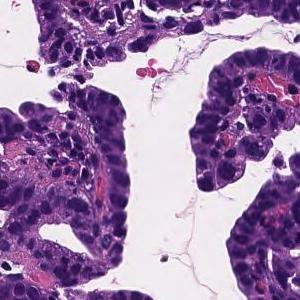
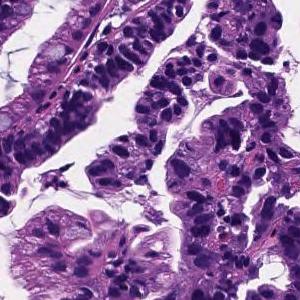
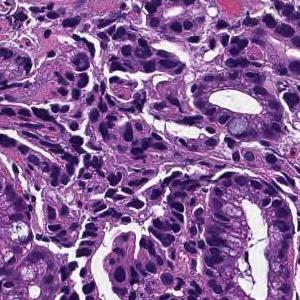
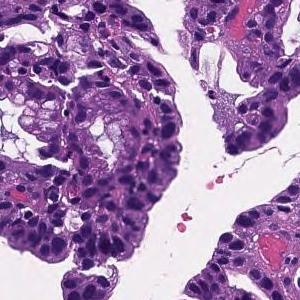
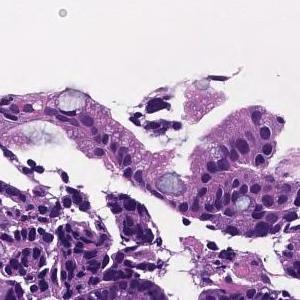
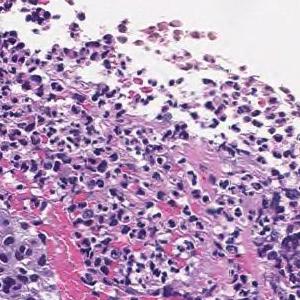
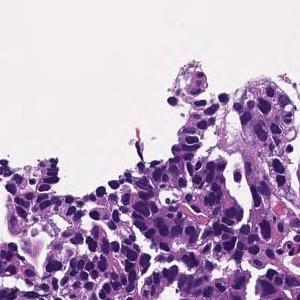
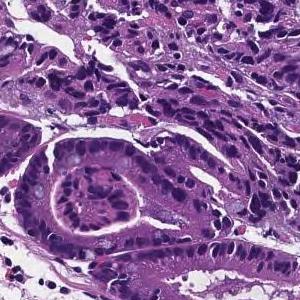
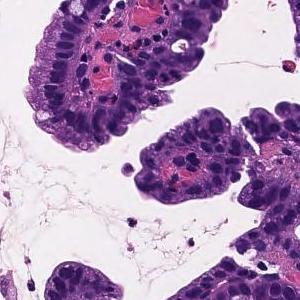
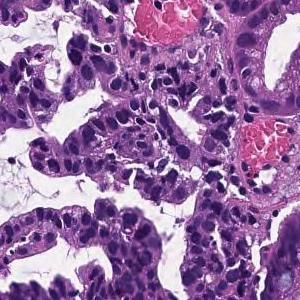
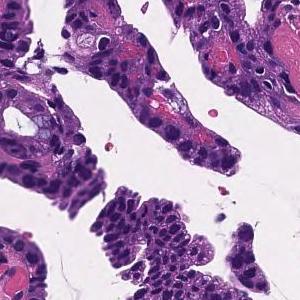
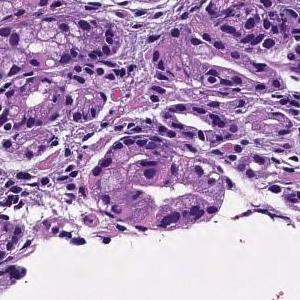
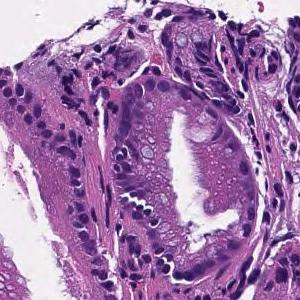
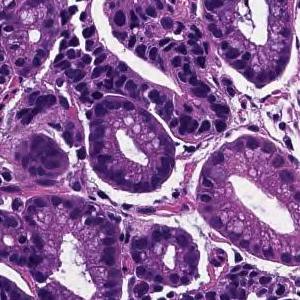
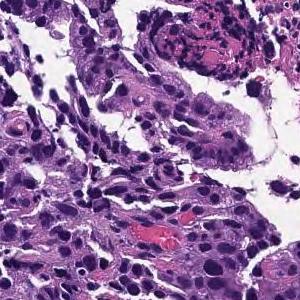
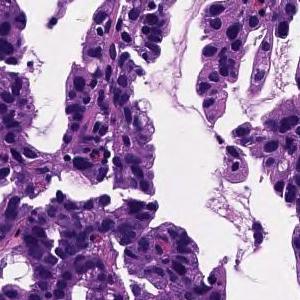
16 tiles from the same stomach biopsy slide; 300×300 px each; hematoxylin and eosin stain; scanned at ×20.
Diagnostic report for the slide these tiles come from. Both the report and the diagnosis are for the whole slide: these tiles need not show every feature named, and some of the tissue shown may not be tumor.
Tumor cells are large, highly columnar, large club-shaped nuclei, and are associated with chromatin aggregation. Papillary adenocarcinoma.
